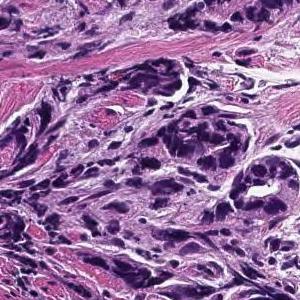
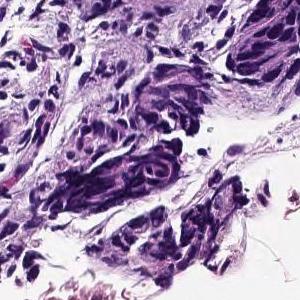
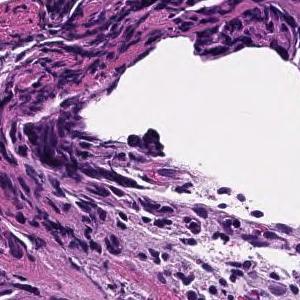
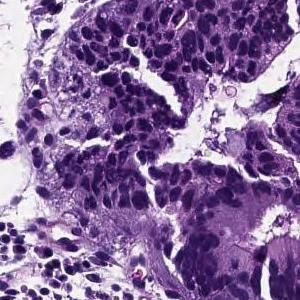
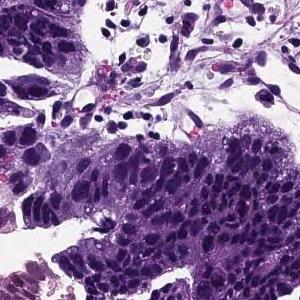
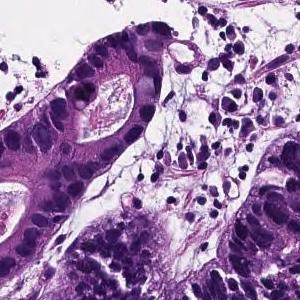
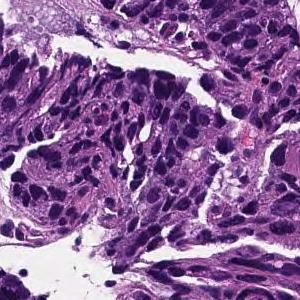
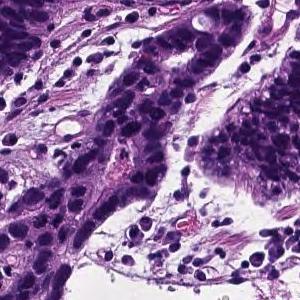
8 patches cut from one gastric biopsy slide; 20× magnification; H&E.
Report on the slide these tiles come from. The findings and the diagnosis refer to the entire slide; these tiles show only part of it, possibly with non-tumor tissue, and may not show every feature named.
From the superficial epithelium to the muscularis mucosae, tumor tissue consisting of medium-sized and irregular glandular ducts infiltrating is observed. Well differentiated tubular adenocarcinoma
